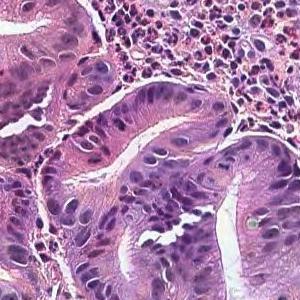
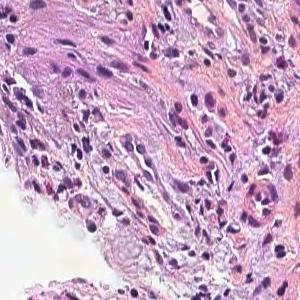
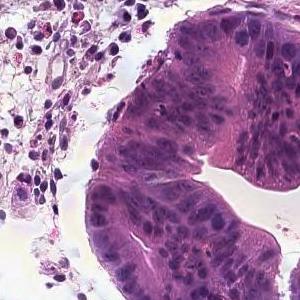
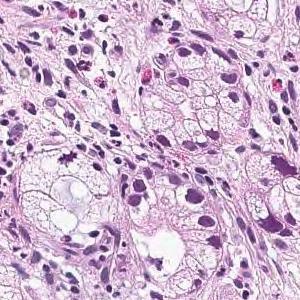
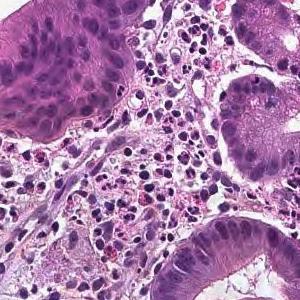
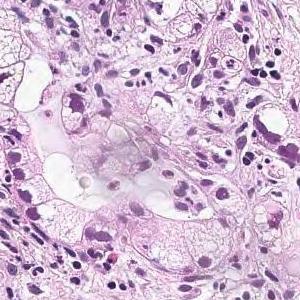
×20, 6 tiles from the same stomach biopsy slide, 300×300 px each.
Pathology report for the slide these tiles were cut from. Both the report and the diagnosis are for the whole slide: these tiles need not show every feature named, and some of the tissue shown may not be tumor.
On the superficial epithelium, tumor tissue that infiltrates by forming medium-sized papillary or small irregular ducts is observed. Papillary adenocarcinoma
